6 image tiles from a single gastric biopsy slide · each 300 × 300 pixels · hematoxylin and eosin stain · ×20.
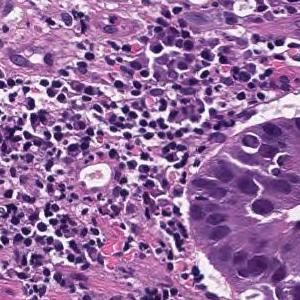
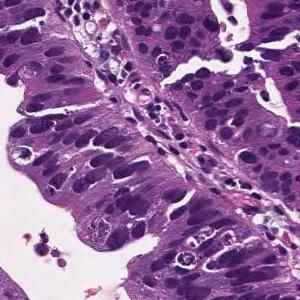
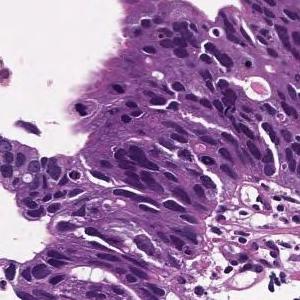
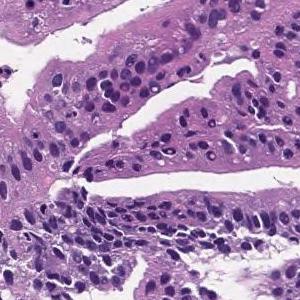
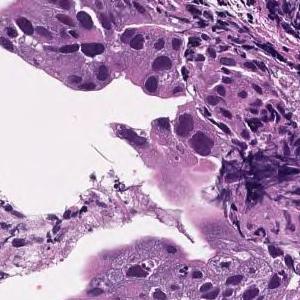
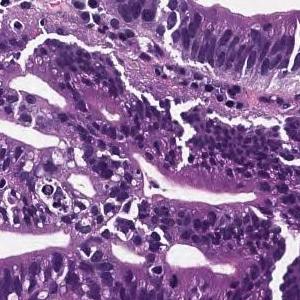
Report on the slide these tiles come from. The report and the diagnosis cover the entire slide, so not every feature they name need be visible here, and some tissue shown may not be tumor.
Tumor cells are large, highly columnar, large club-shaped nuclei, and are associated with chromatin aggregation. Papillary adenocarcinoma.
